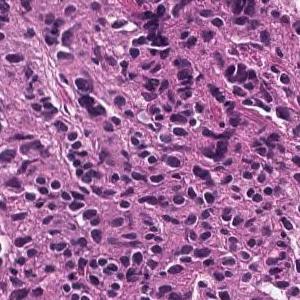
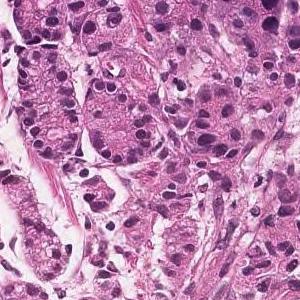
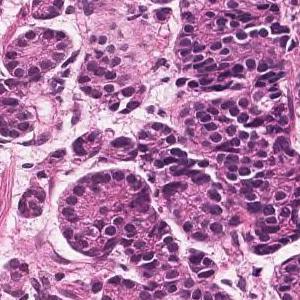
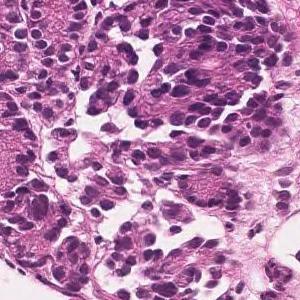
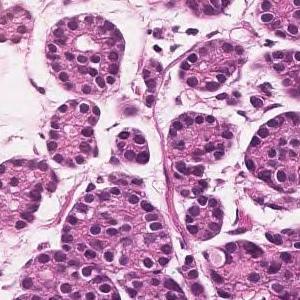
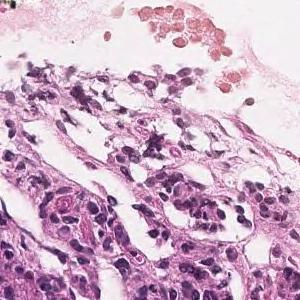
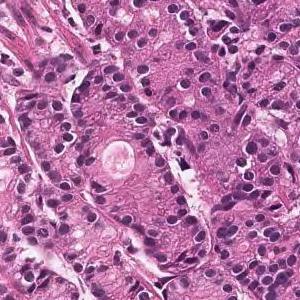
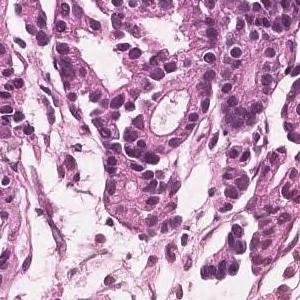
8 tiles cut from one stomach biopsy slide; 300×300 px each; hematoxylin and eosin stain.
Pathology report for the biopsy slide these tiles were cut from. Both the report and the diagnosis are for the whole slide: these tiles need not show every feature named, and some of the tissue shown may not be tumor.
In the superficial epithelium, tumor tissue that invades by forming medium-sized to small, irregular ducts is observed. Moderately differentiated adenocarcinoma.
Histologic type: Moderately differentiated tubular adenocarcinoma.
